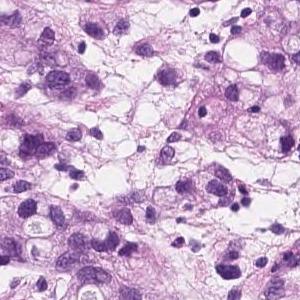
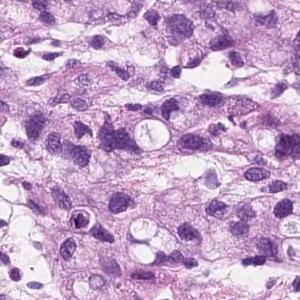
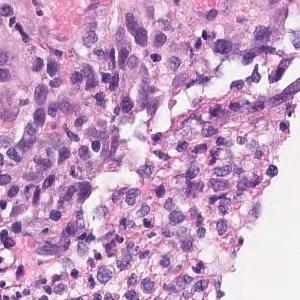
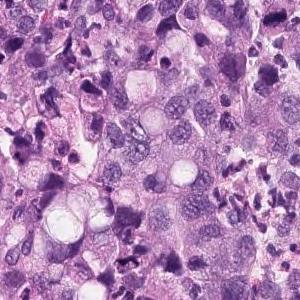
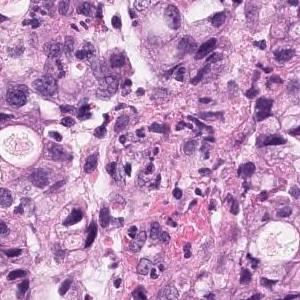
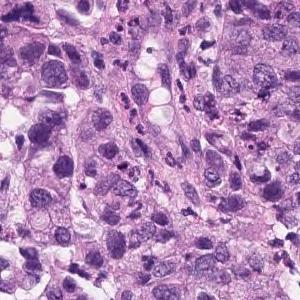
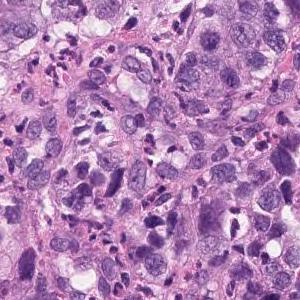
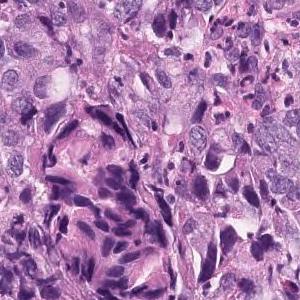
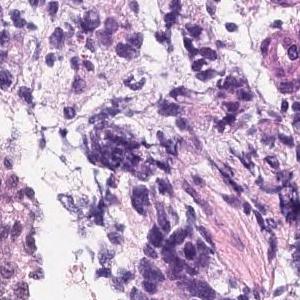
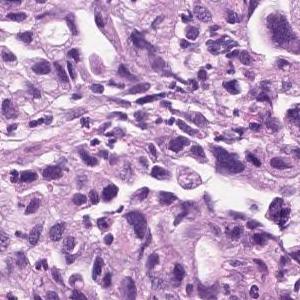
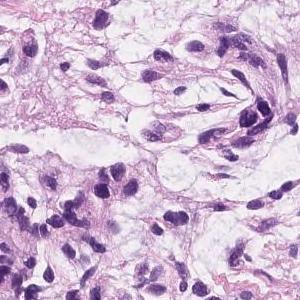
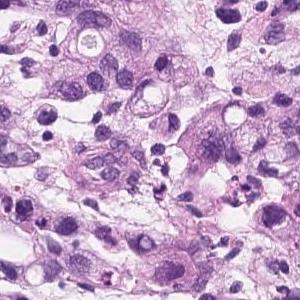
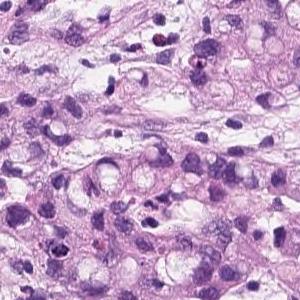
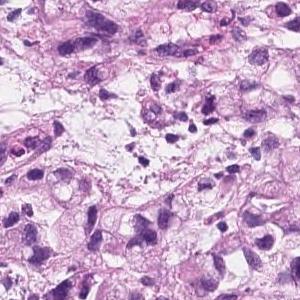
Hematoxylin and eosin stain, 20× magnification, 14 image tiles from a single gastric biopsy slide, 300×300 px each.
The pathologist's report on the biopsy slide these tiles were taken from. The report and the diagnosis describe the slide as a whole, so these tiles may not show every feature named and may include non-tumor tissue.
Group 5, Adenocarcinoma. Poorly differentiated adenocarcinoma, non-solid type
The non-solid type named here is a Japanese Classification of Gastric Carcinoma category.
